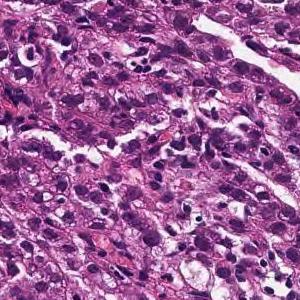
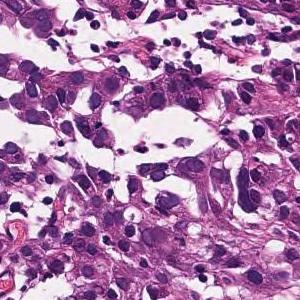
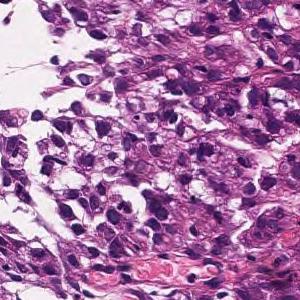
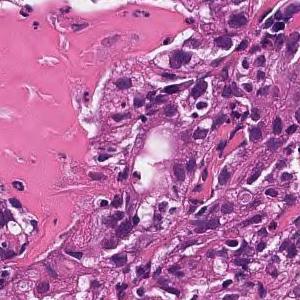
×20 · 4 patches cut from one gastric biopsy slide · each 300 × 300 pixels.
Diagnostic report for the slide these tiles come from. The report describes the whole slide, diagnosis included: not every finding it names need appear in these tiles, which may also show non-tumor tissue.
Tumor tissue consisting of cord-like or small, irregular glandular ducts fused and infiltrated is observed in the superficial epithelium. Poorly differentiated adenocarcinoma, non-solid type
"Non-solid type" is a category of the Japanese Classification of Gastric Carcinoma.
